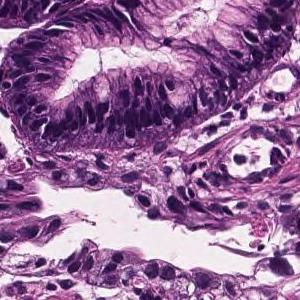
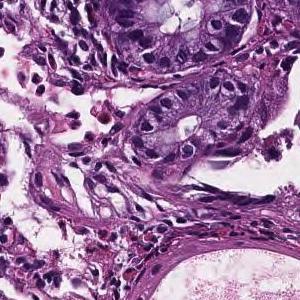
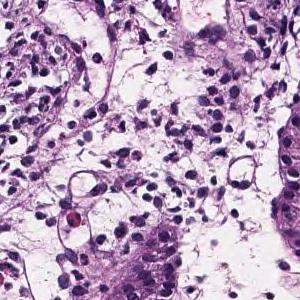
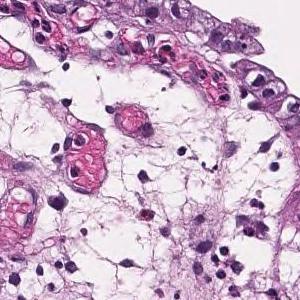
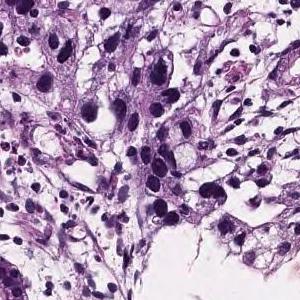
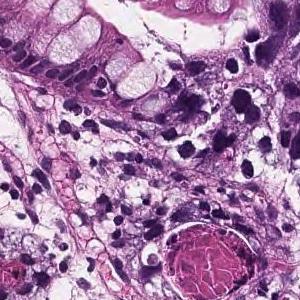
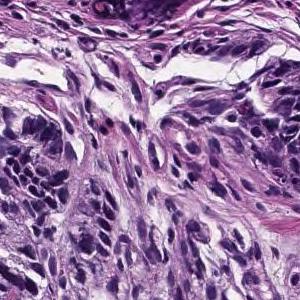
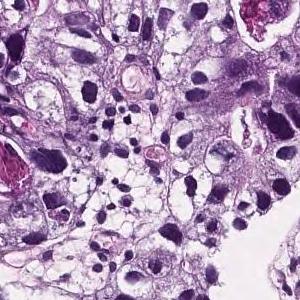
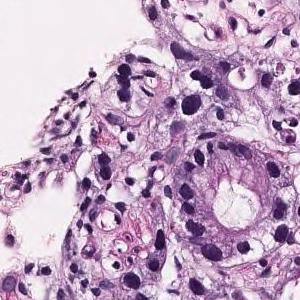
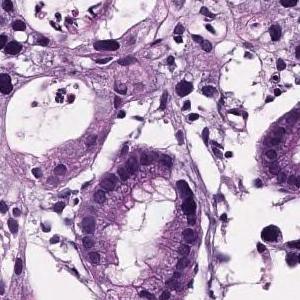
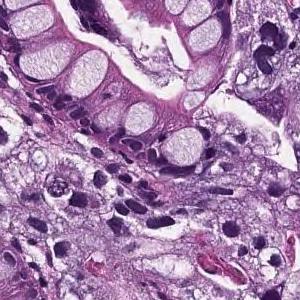
11 tiles from the same stomach biopsy slide · ×20 · H&E stain.
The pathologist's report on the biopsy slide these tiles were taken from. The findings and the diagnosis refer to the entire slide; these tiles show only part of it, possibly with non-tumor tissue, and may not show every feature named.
In the superficial epithelium, medium to small irregular gland ducts are formed, and in some cases, the ducts are fused to show solid alveolar lesions and infiltrating tumor tissue is observed. Moderately to poorly differentiated adenocarcinoma
